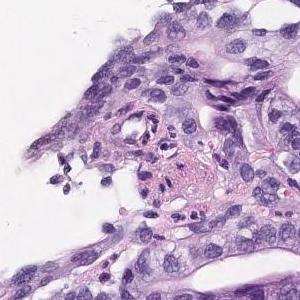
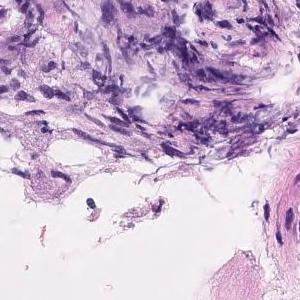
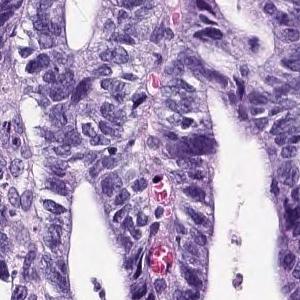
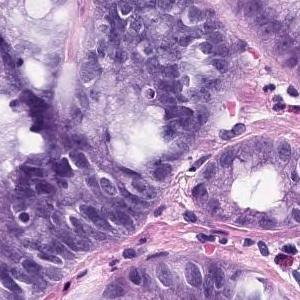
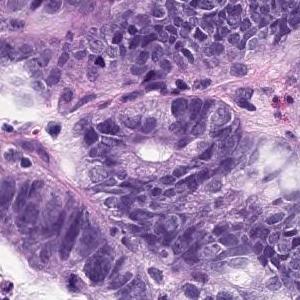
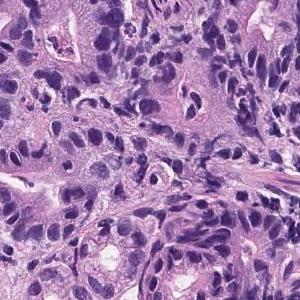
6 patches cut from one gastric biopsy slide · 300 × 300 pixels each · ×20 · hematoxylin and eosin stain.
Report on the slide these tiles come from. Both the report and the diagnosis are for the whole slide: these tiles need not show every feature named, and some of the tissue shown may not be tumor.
On the superficial epithelium, tumor tissue consisting of medium-sized to large-sized, round or irregular glandular duct growth images is observed. Well differentiated adenocarcinoma.
Subtype: Well differentiated tubular adenocarcinoma.
